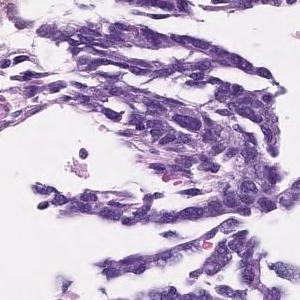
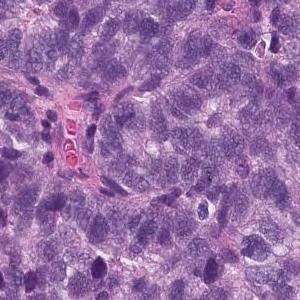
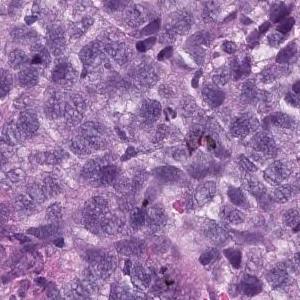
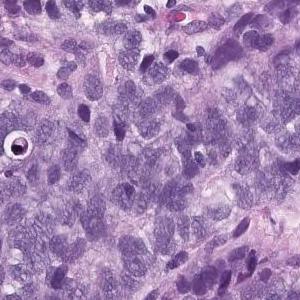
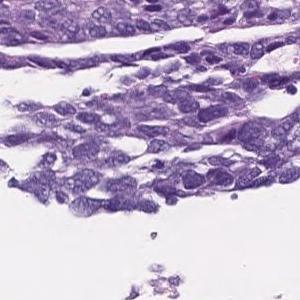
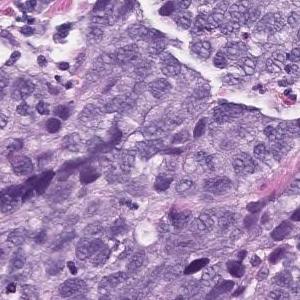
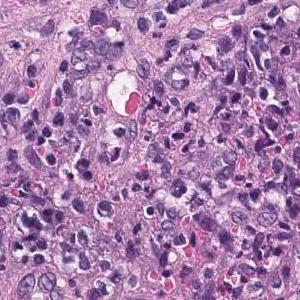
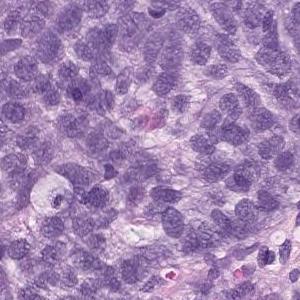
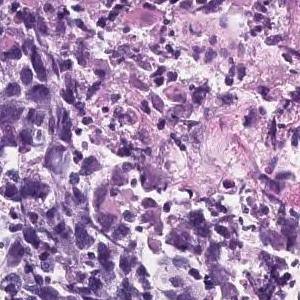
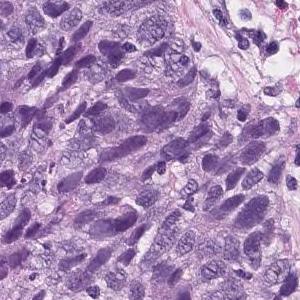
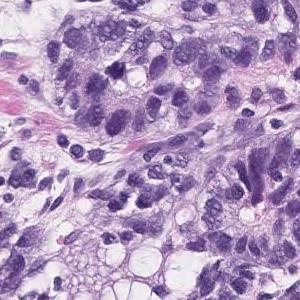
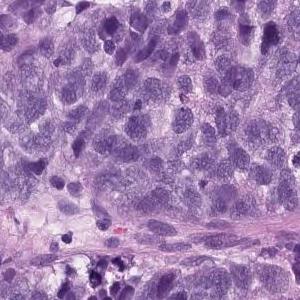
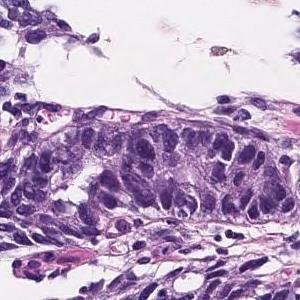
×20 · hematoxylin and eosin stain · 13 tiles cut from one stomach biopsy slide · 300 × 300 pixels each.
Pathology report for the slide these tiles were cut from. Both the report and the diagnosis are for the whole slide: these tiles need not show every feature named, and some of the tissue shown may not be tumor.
Epithelial cells with swollen nuclei with atypia invasively proliferating while forming vesicles is observed. Poorly differentiated adenocarcinoma
Histological subtype: Poorly differentiated adenocarcinoma, solid type. This name comes from the Japanese Classification of Gastric Carcinoma; the WHO 2019 classification calls it tubular adenocarcinoma, poorly differentiated.
